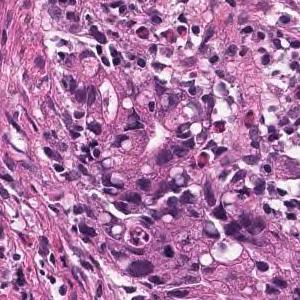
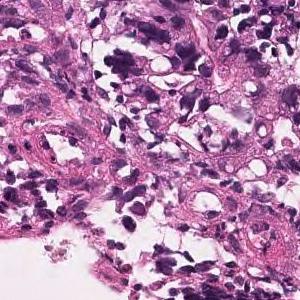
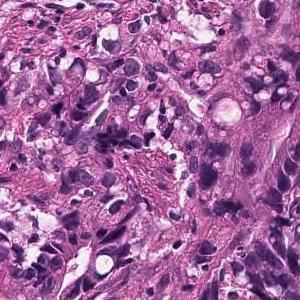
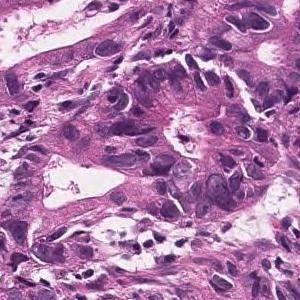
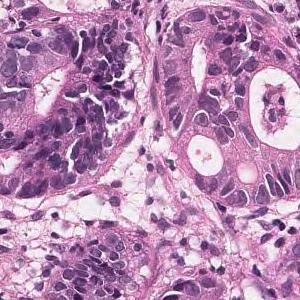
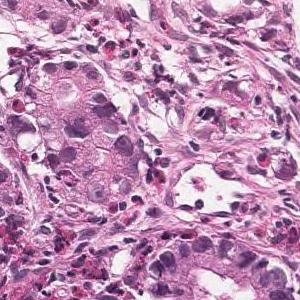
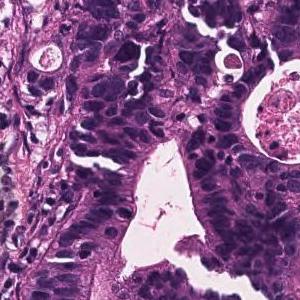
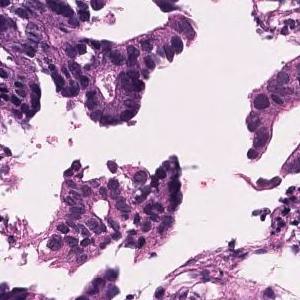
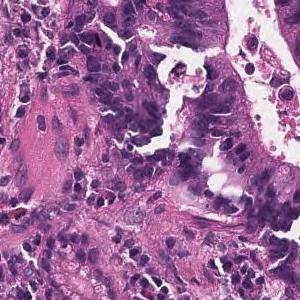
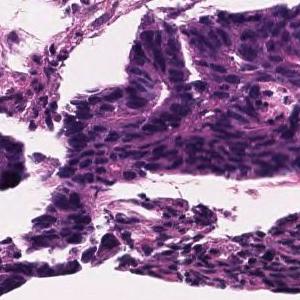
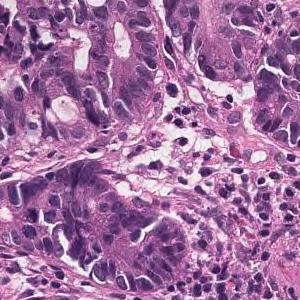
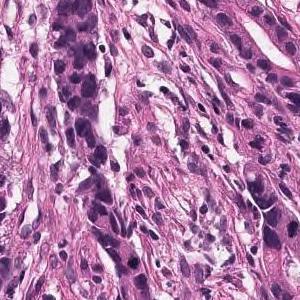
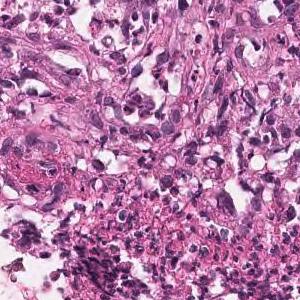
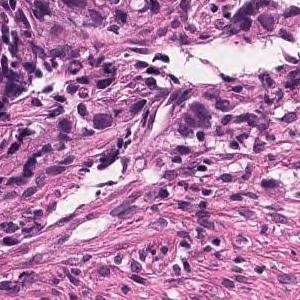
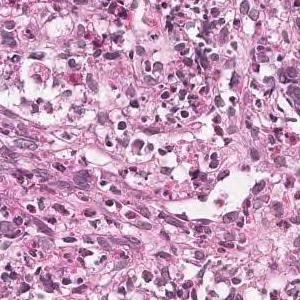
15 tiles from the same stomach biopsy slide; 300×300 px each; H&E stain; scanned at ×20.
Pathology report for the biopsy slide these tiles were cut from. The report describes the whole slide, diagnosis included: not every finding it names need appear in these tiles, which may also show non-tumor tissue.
In the superficial epithelium, tumor tissue is found in which medium-sized irregular gland ducts fuse with each other and infiltrate. moderately differentiated tubular adenocarcinoma
